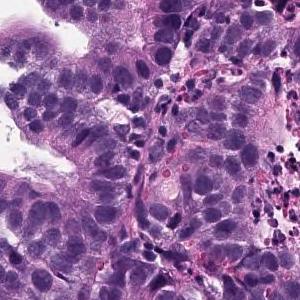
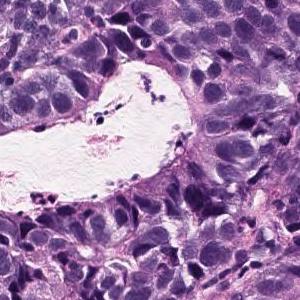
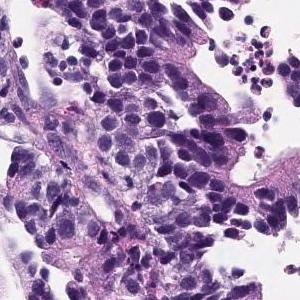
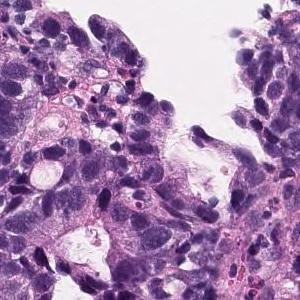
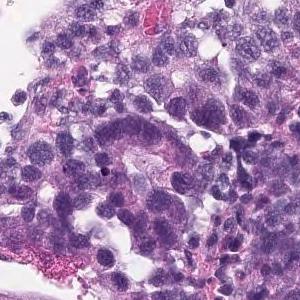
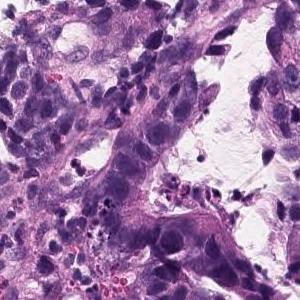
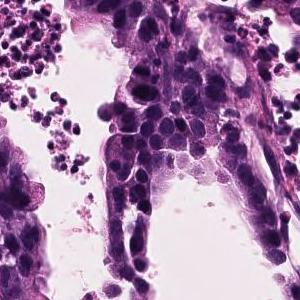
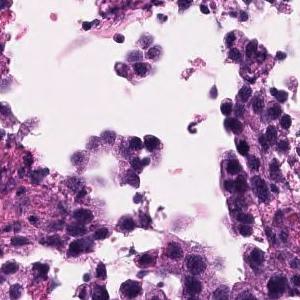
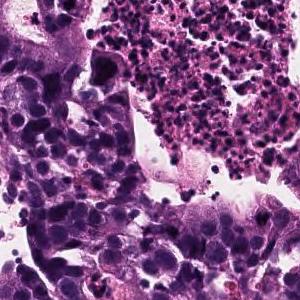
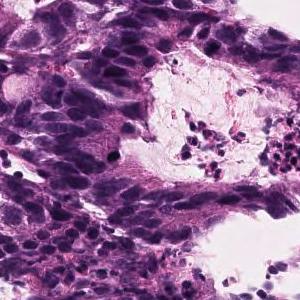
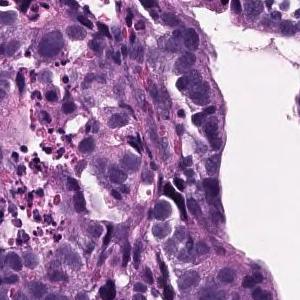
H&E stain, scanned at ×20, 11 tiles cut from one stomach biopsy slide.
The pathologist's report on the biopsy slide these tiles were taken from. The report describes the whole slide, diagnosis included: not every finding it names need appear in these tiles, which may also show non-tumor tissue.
In the superficial epithelium, tumor tissue that invades by forming medium-sized to small, irregular ducts is observed. moderately differentiated tubular adenocarcinoma.
